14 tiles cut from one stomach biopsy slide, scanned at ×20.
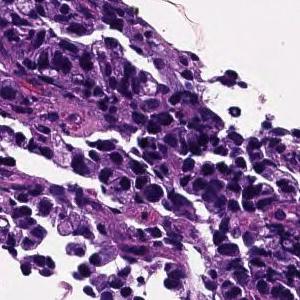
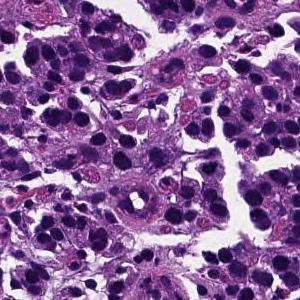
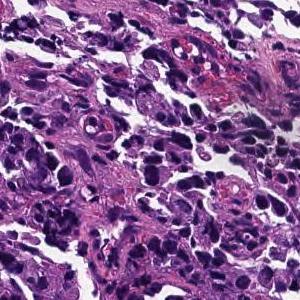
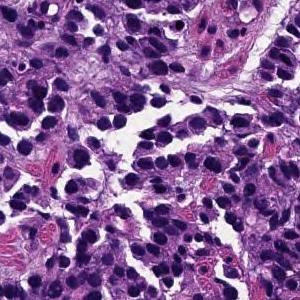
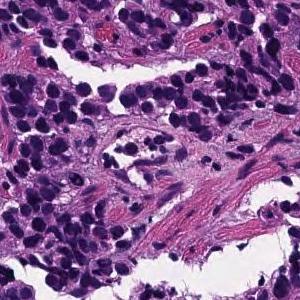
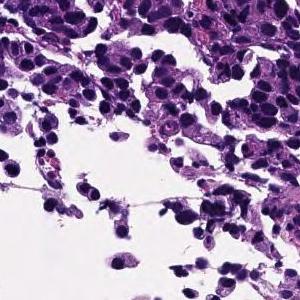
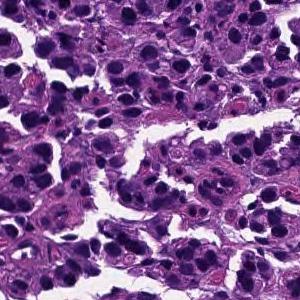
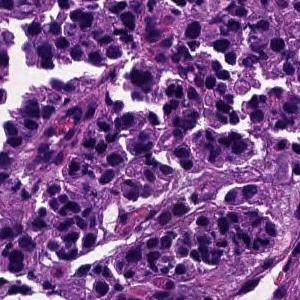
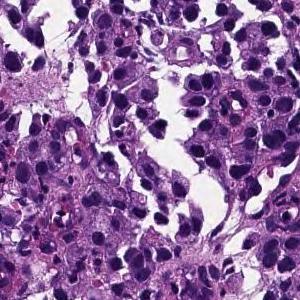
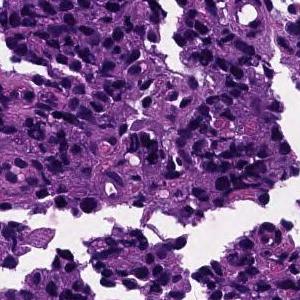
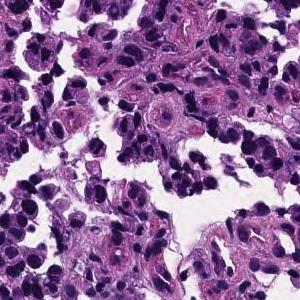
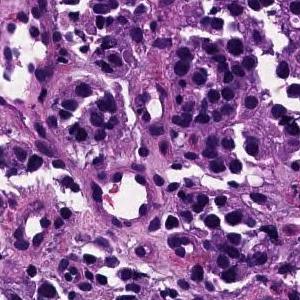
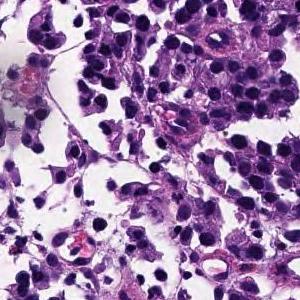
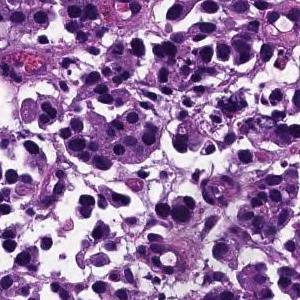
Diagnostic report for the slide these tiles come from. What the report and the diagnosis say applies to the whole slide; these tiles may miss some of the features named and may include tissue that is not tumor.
The superficial epithelium shows a large alveolar shape and infiltrates tumor tissue. Poorly differentiated adenocarcinoma, solid-type
Tumor subtype: poorly differentiated adenocarcinoma, solid type (Japanese Classification of Gastric Carcinoma). The WHO 2019 equivalent is tubular adenocarcinoma, poorly differentiated.
